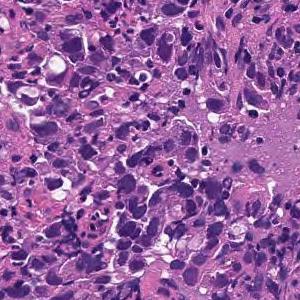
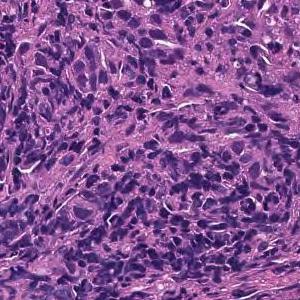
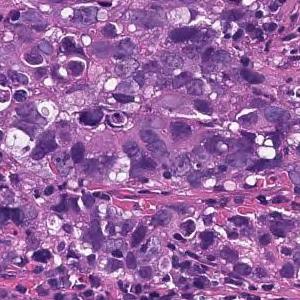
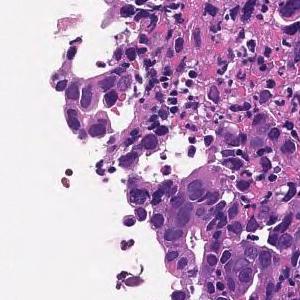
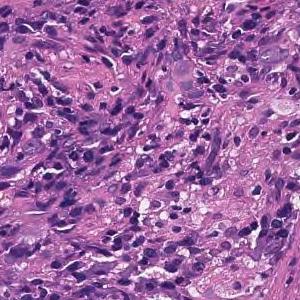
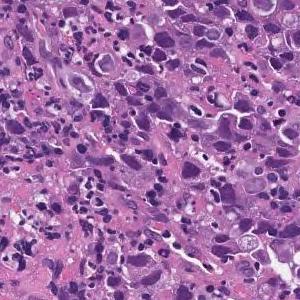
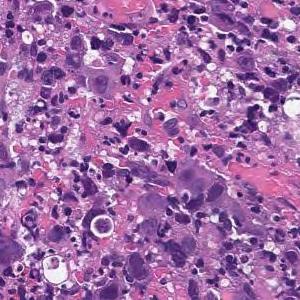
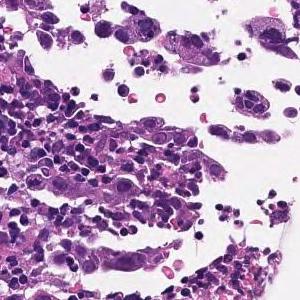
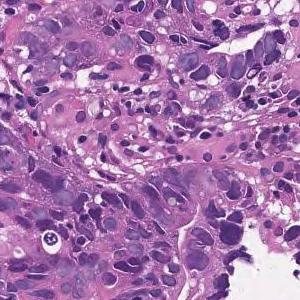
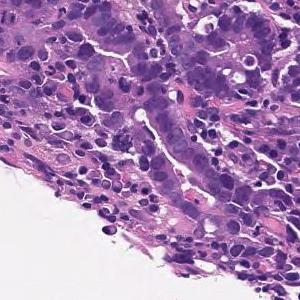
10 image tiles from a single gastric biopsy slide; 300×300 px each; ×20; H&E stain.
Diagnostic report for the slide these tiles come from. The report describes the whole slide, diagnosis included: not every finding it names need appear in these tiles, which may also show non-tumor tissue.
Tumor tissue consisting of cord-like or small, irregular glandular ducts fused and infiltrated is observed in the superficial epithelium. Poorly differentiated adenocarcinoma, non-solid type
The term "non-solid type" comes from the Japanese Classification of Gastric Carcinoma.
